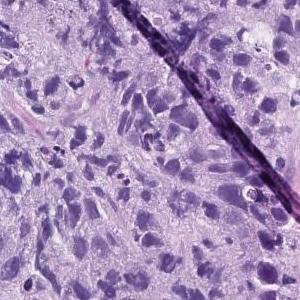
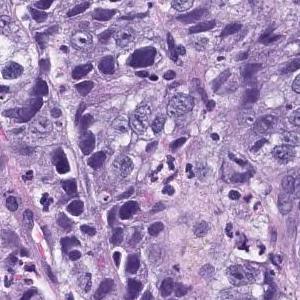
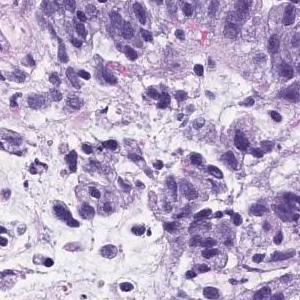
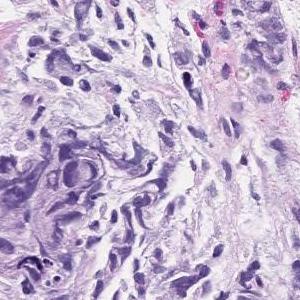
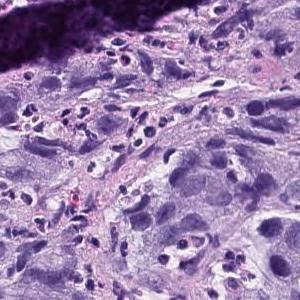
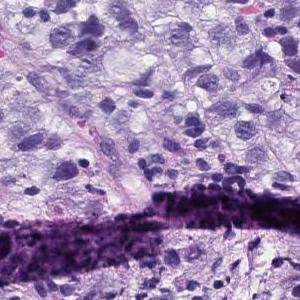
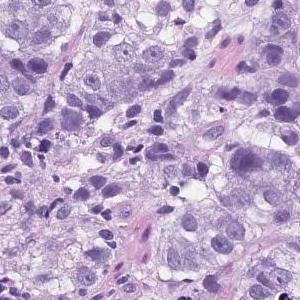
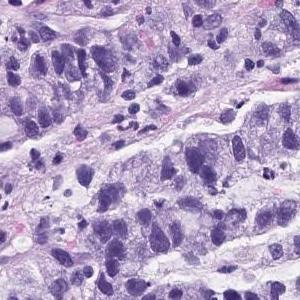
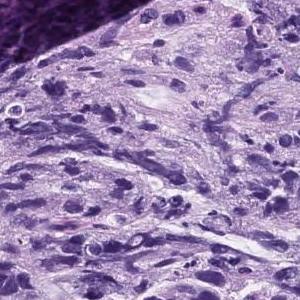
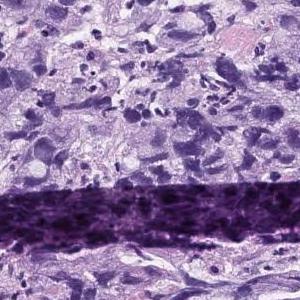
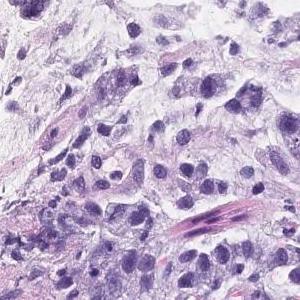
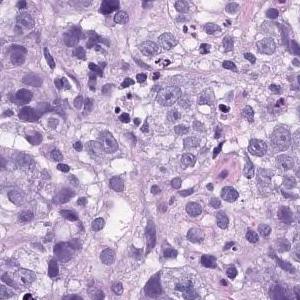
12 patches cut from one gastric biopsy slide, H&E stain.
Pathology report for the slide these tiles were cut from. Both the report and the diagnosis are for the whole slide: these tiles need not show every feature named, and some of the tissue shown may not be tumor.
Atypical l cells with atypical nuclei forming solid vesicles or small irregular atypical ducts that proliferate in a complex manner. poorly differentiated adenocarcinoma, solid type, moderately differentiated tubular adenocarcinoma
The term "solid type" comes from the Japanese Classification of Gastric Carcinoma; the WHO 2019 equivalent is tubular adenocarcinoma, poorly differentiated.
